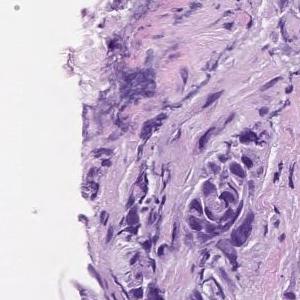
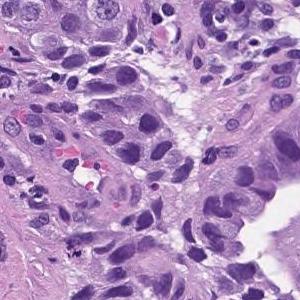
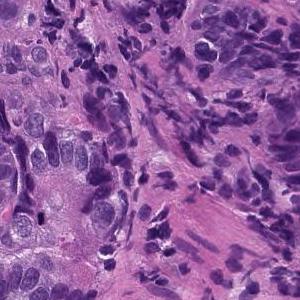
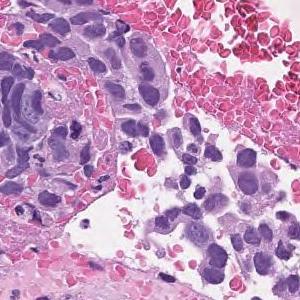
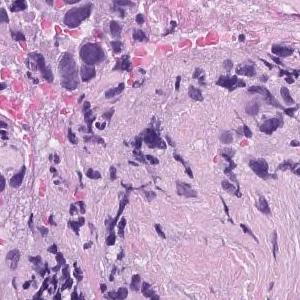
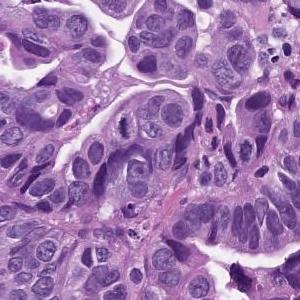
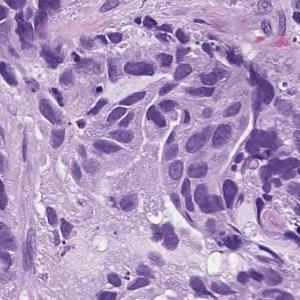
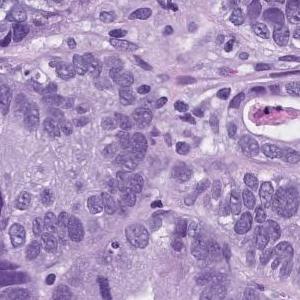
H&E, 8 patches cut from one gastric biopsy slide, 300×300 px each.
Pathology report for the slide these tiles were cut from. The report and the diagnosis cover the entire slide, so not every feature they name need be visible here, and some tissue shown may not be tumor.
In the superficial epithelium, tumor tissue that invades by forming medium-sized to small, irregular ducts is observed. moderately differentiated tubular adenocarcinoma.
